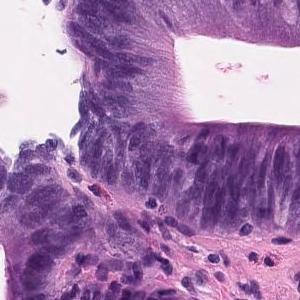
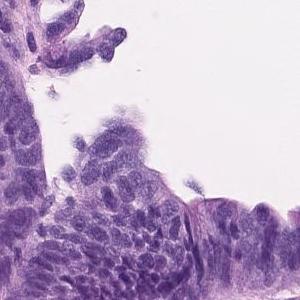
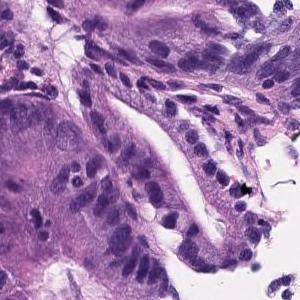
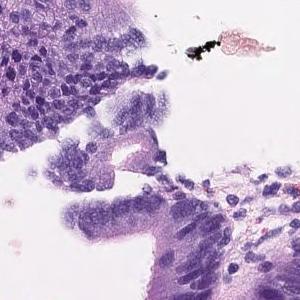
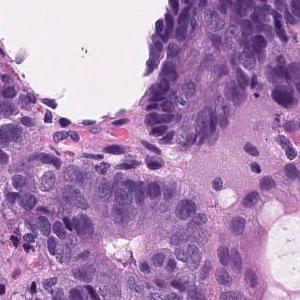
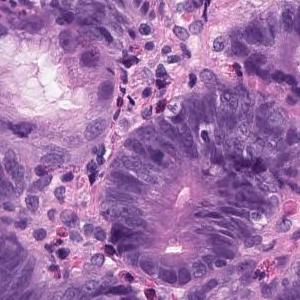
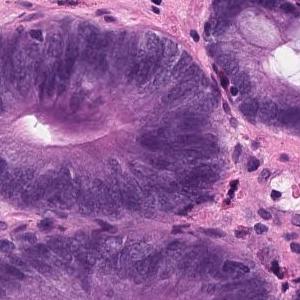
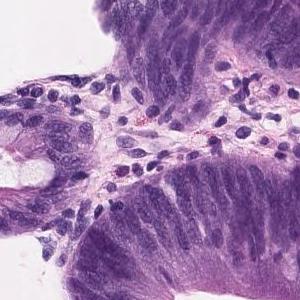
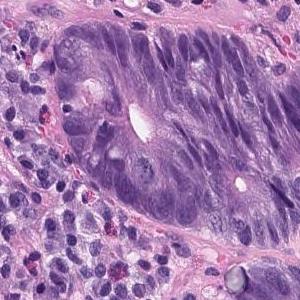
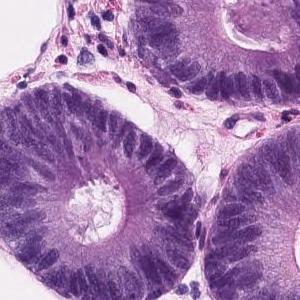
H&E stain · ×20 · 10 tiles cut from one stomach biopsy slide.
Diagnostic report for the slide these tiles come from. The report describes the whole slide, diagnosis included: not every finding it names need appear in these tiles, which may also show non-tumor tissue.
On the superficial epithelium, tumor tissue with densely growing medium to large, round tubules is observed. Tumor cells are highly columnar, with nuclei aligned basolaterally and polarized. Well differentiated tubular adenocarcinoma
